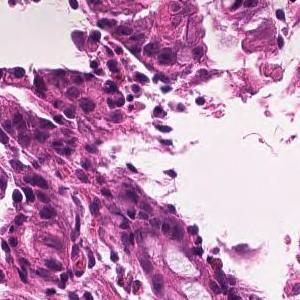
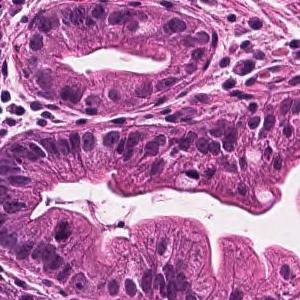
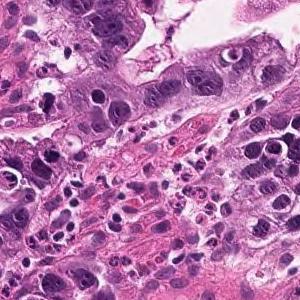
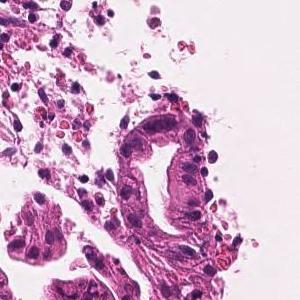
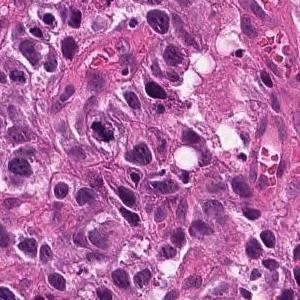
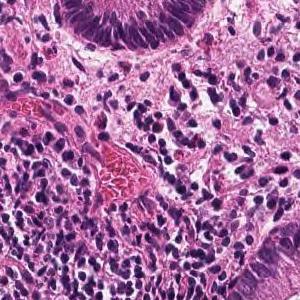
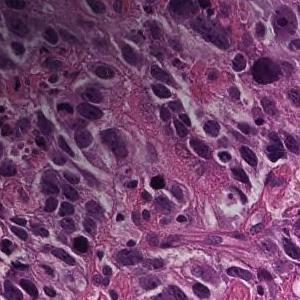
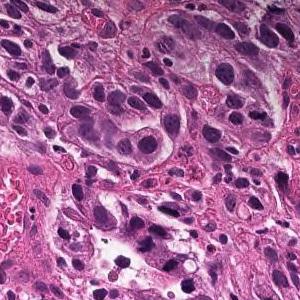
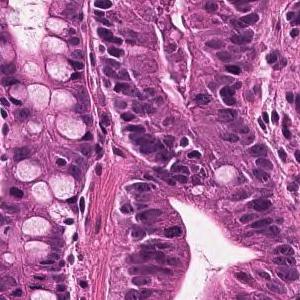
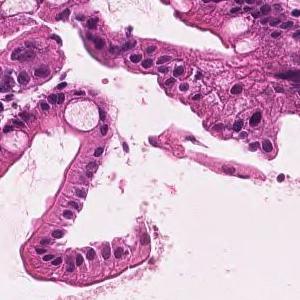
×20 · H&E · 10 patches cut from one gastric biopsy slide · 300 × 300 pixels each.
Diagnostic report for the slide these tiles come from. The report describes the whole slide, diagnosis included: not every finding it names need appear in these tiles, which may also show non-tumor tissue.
Tumor tissue consisting of medium-sized, cord-like or irregular glandular infiltration is observed in the superficial epithelium. Poorly differentiated adenocarcinoma, non-solid type or moderately differentiated tubular adenocarcinoma
Histological subtype: Moderately to poorly differentiated adenocarcinoma.
The non-solid type named here is a Japanese Classification of Gastric Carcinoma category.
